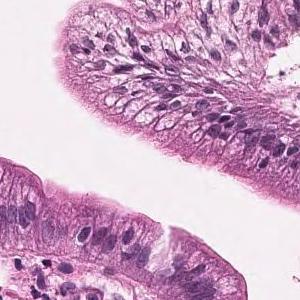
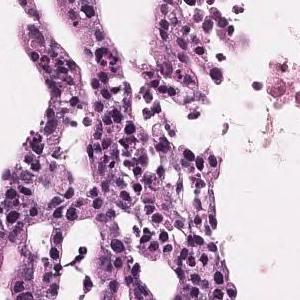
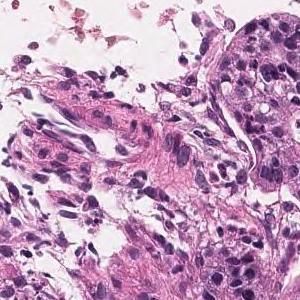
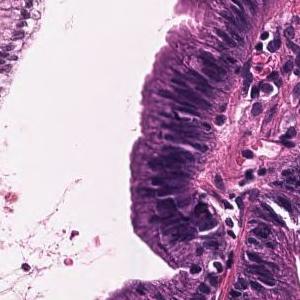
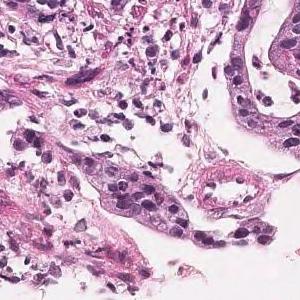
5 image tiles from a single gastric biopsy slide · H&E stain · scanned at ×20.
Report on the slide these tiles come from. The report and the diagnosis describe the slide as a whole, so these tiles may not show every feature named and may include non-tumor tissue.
Tumor tissue that grows invasively while the short atypical epithelium forms small ducts is observed. moderately differentiated tubular adenocarcinoma
